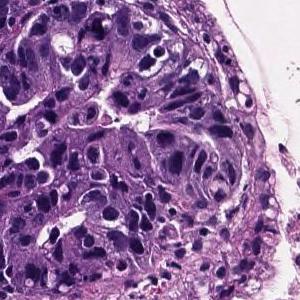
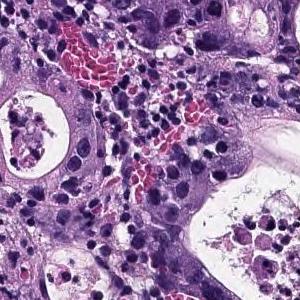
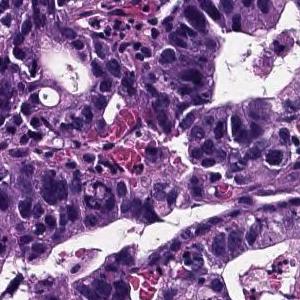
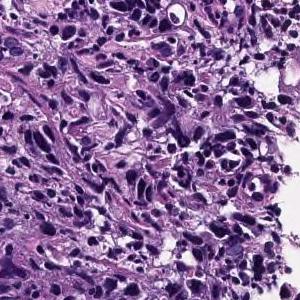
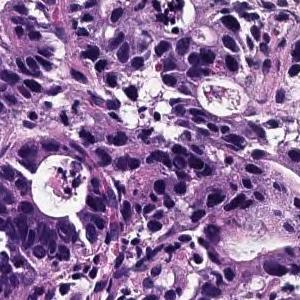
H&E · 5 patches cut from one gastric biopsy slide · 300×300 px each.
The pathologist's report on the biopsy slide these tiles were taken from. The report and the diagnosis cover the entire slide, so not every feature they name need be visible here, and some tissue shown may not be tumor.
In the superficial epithelium, tumor tissue that invades by forming medium-sized to small, irregular ducts is observed. moderately differentiated tubular adenocarcinoma.
